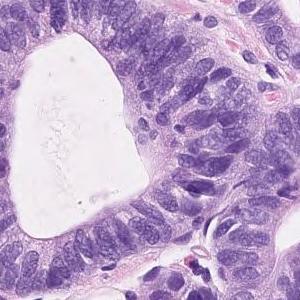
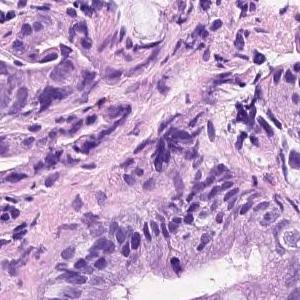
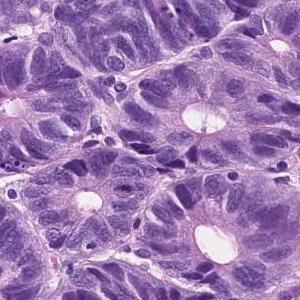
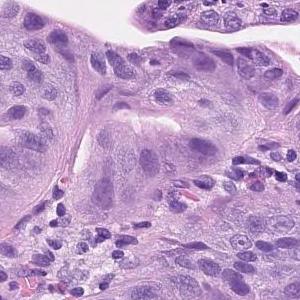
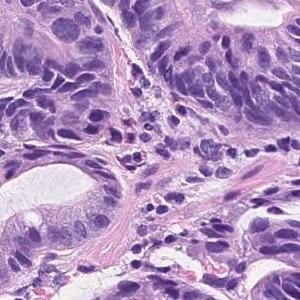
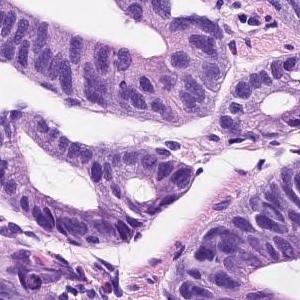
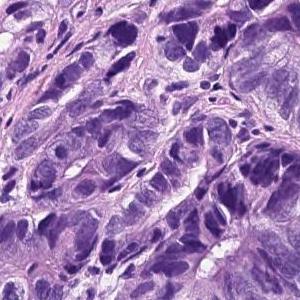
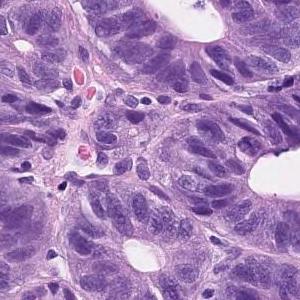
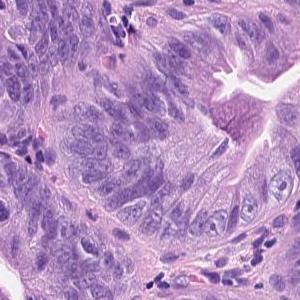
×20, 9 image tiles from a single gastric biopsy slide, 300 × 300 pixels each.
Pathology report for the slide these tiles were cut from. The report and the diagnosis describe the slide as a whole, so these tiles may not show every feature named and may include non-tumor tissue.
Tumor tissue consisting of medium-sized and irregular ducts is observed infiltrating in the superficial epithelium. Tumor cells are highly columnar, with nuclei aligned basolaterally and polarized. Well differentiated tubular adenocarcinoma.
